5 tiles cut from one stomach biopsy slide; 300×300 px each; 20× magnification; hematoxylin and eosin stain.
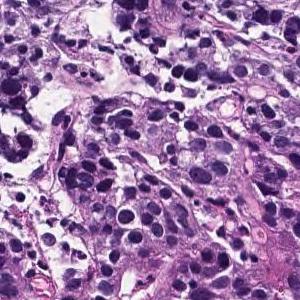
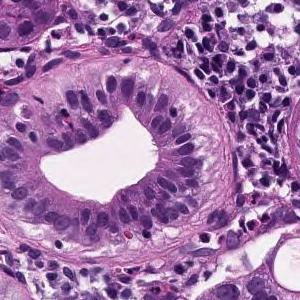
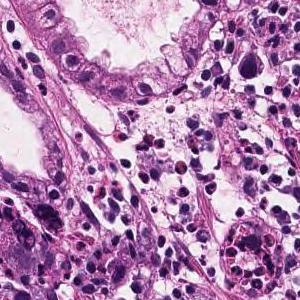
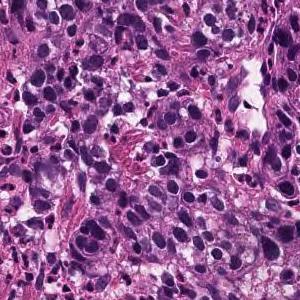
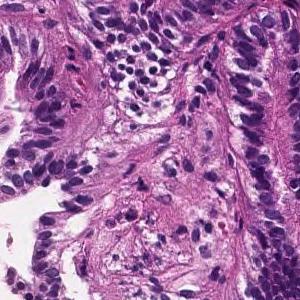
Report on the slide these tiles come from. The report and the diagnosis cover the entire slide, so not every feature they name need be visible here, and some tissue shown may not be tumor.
In the superficial epithelium, tumor tissue that invades by forming medium-sized to small, irregular ducts is observed. moderately differentiated tubular adenocarcinoma.
